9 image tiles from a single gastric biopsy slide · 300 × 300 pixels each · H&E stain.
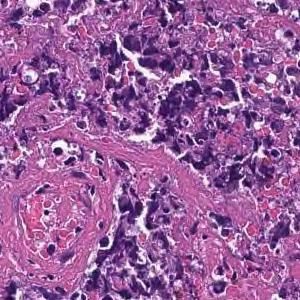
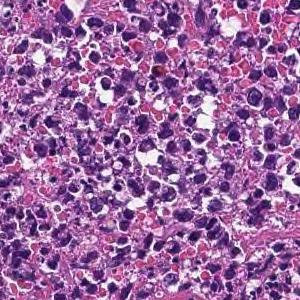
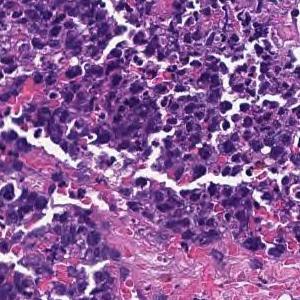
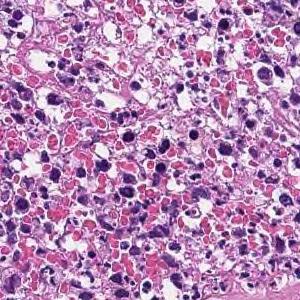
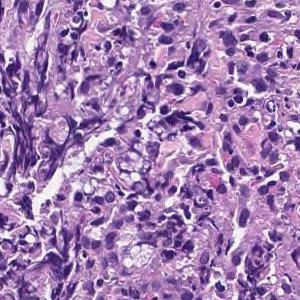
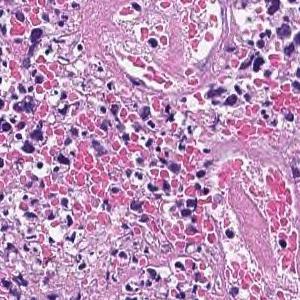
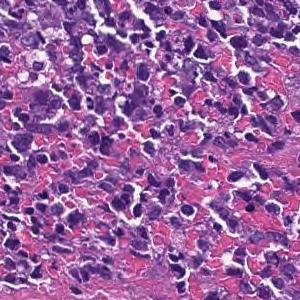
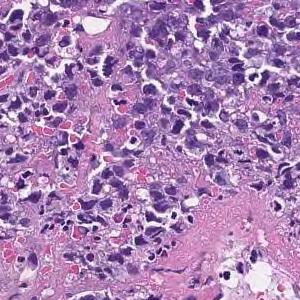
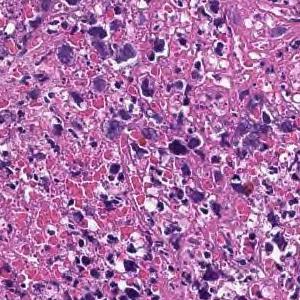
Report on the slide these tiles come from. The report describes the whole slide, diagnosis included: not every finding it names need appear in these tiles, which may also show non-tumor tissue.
Most are composed of coagulative necrotic tissue, but some show a large sheet-like shape, and some show tumor tissue infiltrating with a small cord-like structure. Poorly differentiated adenocarcinoma, solid-type
Histologic type: Poorly differentiated adenocarcinoma, solid type. This name comes from the Japanese Classification of Gastric Carcinoma; the WHO 2019 classification calls it tubular adenocarcinoma, poorly differentiated.
